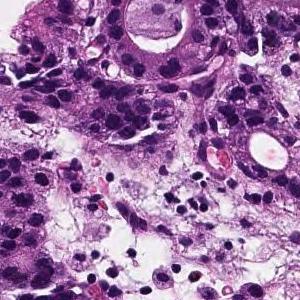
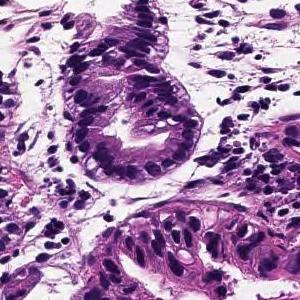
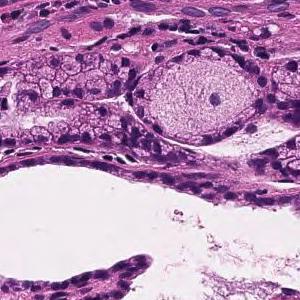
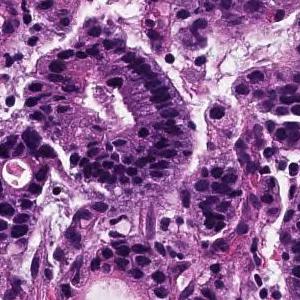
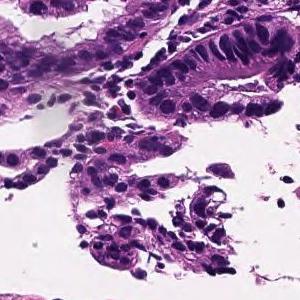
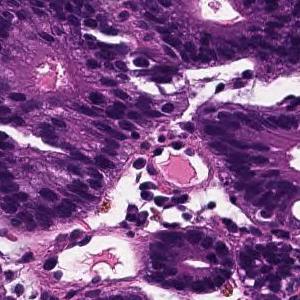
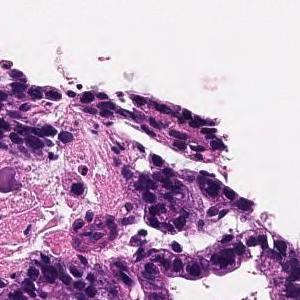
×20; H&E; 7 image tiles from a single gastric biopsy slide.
The pathologist's report on the biopsy slide these tiles were taken from. The findings and the diagnosis refer to the entire slide; these tiles show only part of it, possibly with non-tumor tissue, and may not show every feature named.
From the superficial epithelium to the muscularis mucosae, tumor tissue consisting of medium-sized and irregular glandular ducts infiltrating is observed. Well differentiated tubular adenocarcinoma
